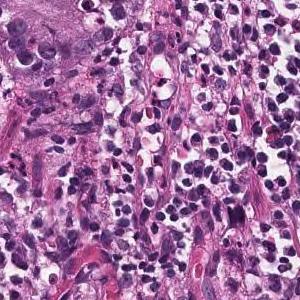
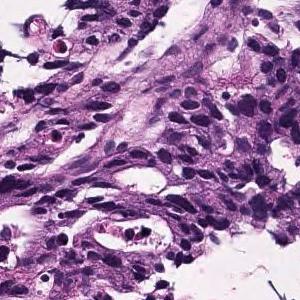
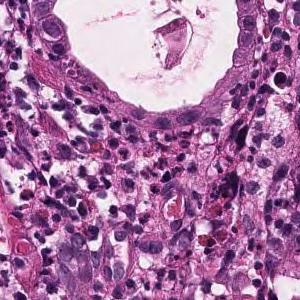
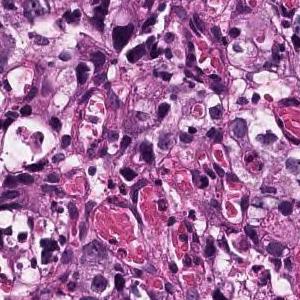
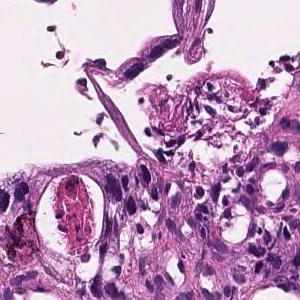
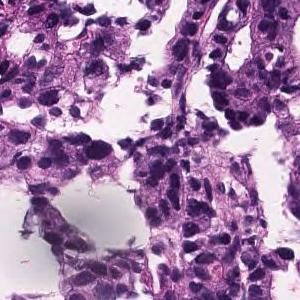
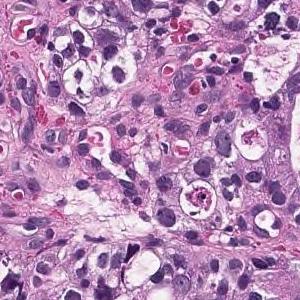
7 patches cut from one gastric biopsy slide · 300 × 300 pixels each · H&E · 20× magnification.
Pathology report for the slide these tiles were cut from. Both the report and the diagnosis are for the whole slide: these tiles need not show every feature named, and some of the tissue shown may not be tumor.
Tumor tissue consisting of medium-sized, cord-like or irregular glandular infiltration is observed in the superficial epithelium. Poorly differentiated adenocarcinoma, non-solid type or moderately differentiated tubular adenocarcinoma
"Non-solid type" is a category of the Japanese Classification of Gastric Carcinoma.
